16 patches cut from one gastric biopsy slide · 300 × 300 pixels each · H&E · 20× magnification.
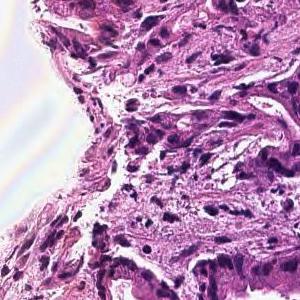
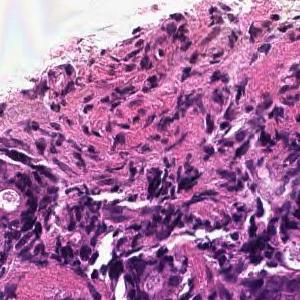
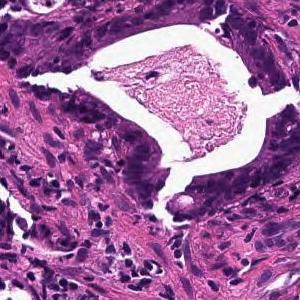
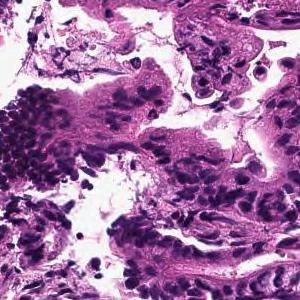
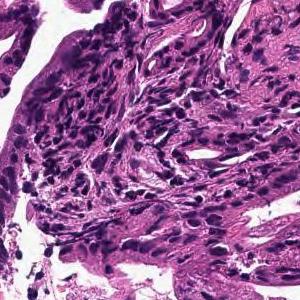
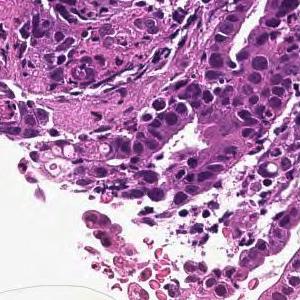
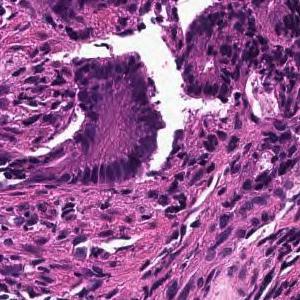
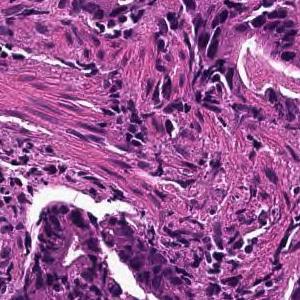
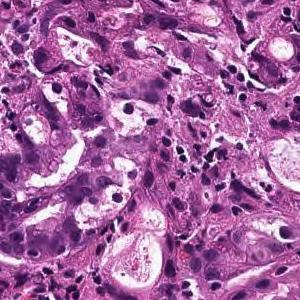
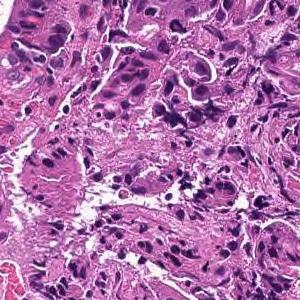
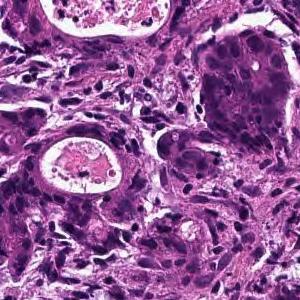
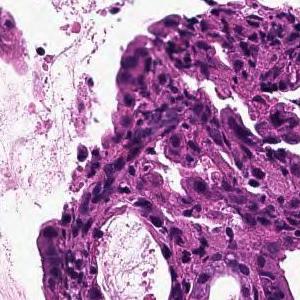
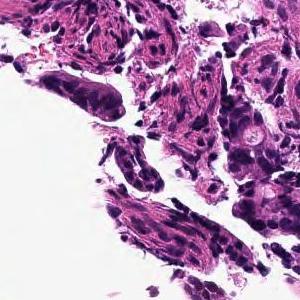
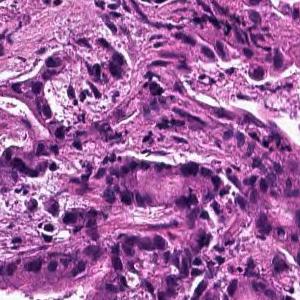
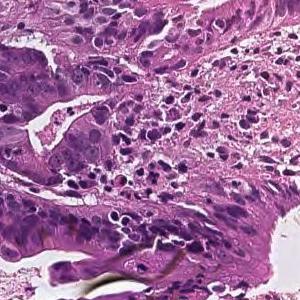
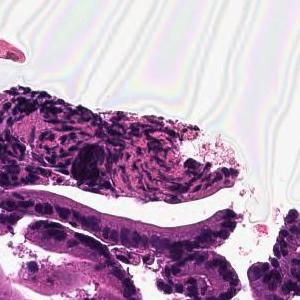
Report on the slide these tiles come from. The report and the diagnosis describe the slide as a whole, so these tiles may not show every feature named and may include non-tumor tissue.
In the superficial epithelium, tumor tissue that invades by forming medium-sized to small, irregular ducts is observed. moderately differentiated tubular adenocarcinoma.
